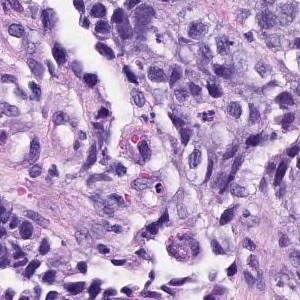
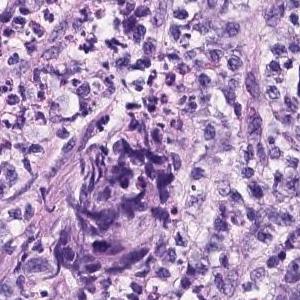
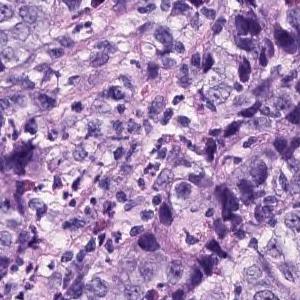
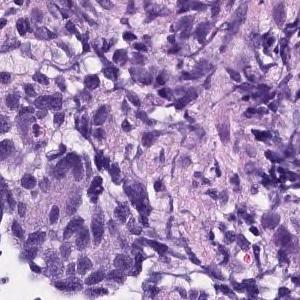
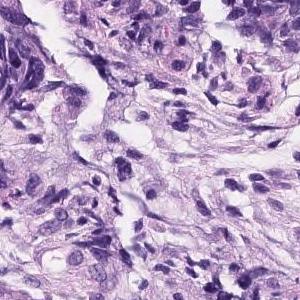
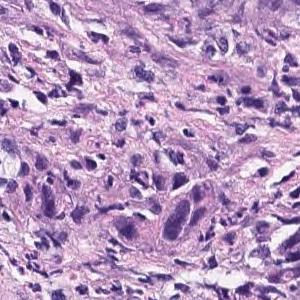
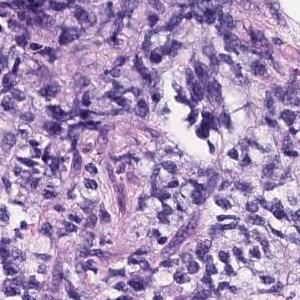
H&E stain · ×20 · 7 image tiles from a single gastric biopsy slide · 300 × 300 pixels each.
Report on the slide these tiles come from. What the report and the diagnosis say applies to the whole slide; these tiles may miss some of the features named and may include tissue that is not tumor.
The superficial epithelium shows a large sheet-like shape, and some tumor tissue infiltrates with small irregular ducts. Poorly differentiated adenocarcinoma, solid-type
Histologic type: Poorly differentiated adenocarcinoma, solid type. This name comes from the Japanese Classification of Gastric Carcinoma; the WHO 2019 classification calls it tubular adenocarcinoma, poorly differentiated.
